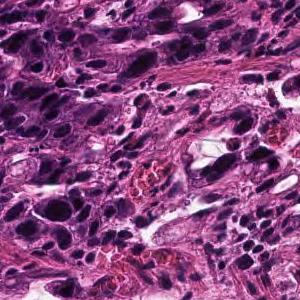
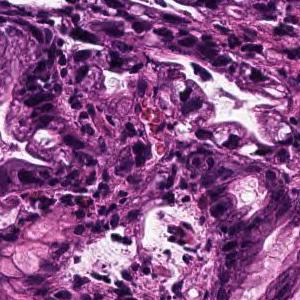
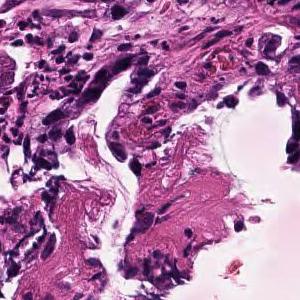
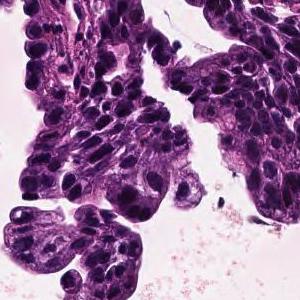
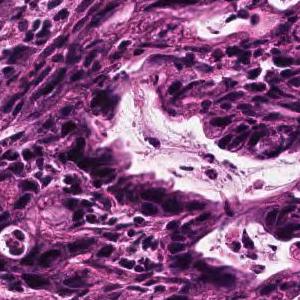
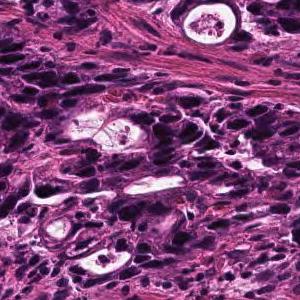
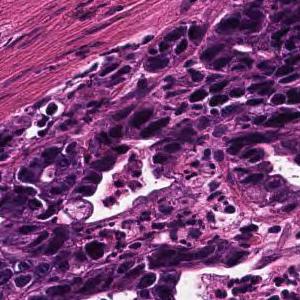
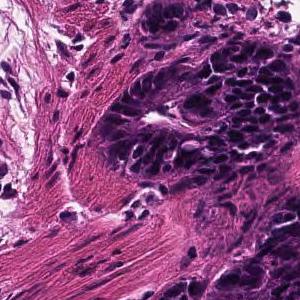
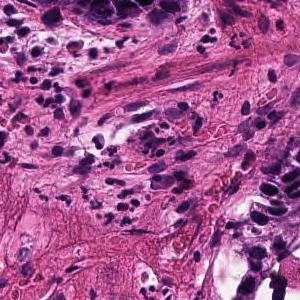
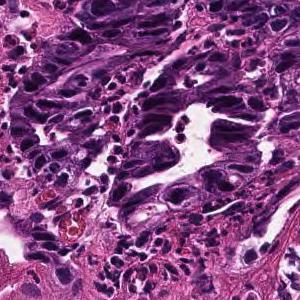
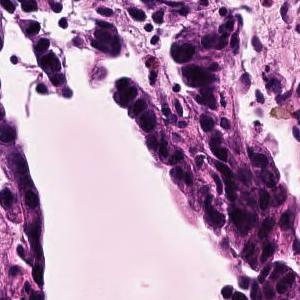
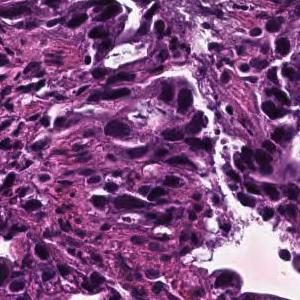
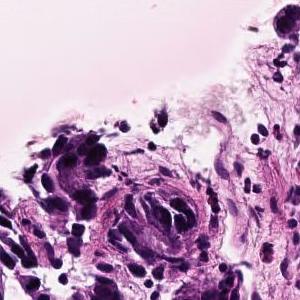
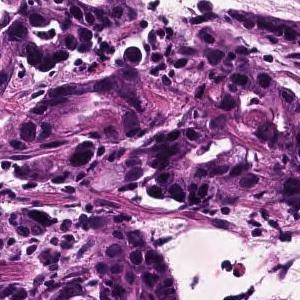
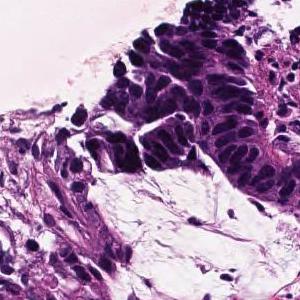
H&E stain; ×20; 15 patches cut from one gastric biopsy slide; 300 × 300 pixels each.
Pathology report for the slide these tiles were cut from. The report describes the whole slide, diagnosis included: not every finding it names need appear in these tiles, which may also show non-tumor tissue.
In the superficial epithelium, tumor tissue that invades by forming medium-sized to small, irregular ducts is observed. moderately differentiated tubular adenocarcinoma.
